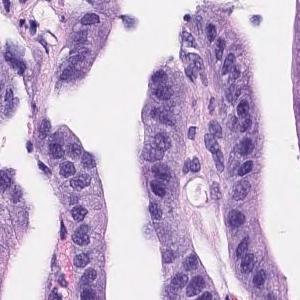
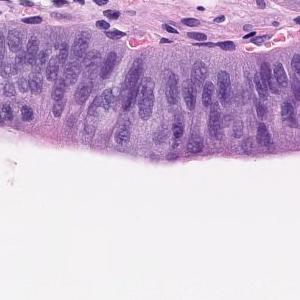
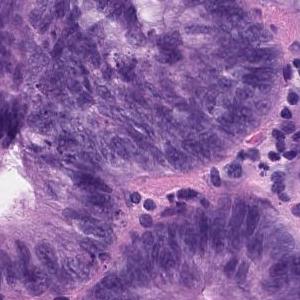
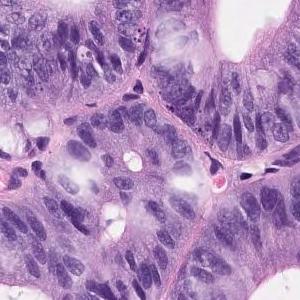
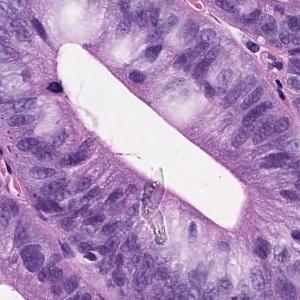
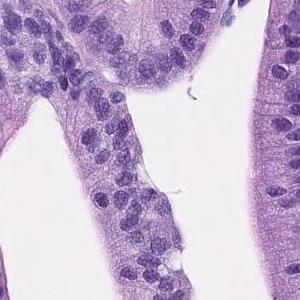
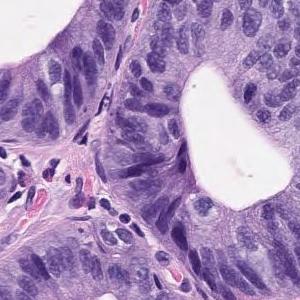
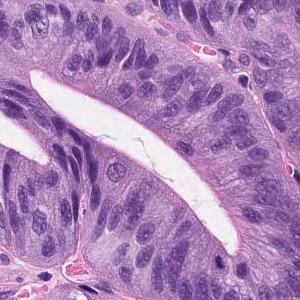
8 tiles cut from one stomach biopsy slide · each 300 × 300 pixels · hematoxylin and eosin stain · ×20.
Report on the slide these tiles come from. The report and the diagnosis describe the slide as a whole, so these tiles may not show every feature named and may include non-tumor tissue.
On the superficial epithelium, tumor tissue consisting of images of atypical ducts of different sizes partially fused and densely proliferating is observed. Well differentiated tubular adenocarcinoma
